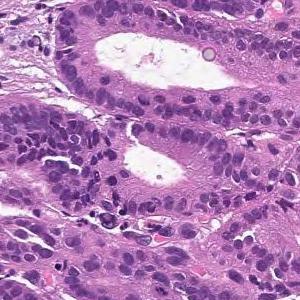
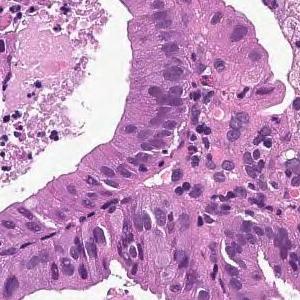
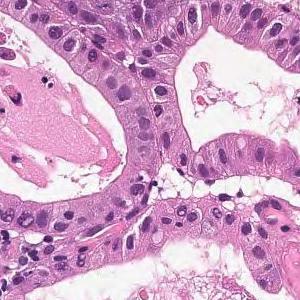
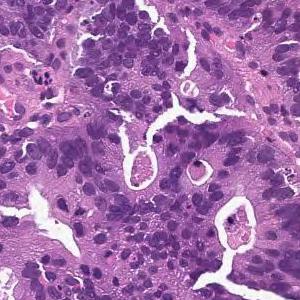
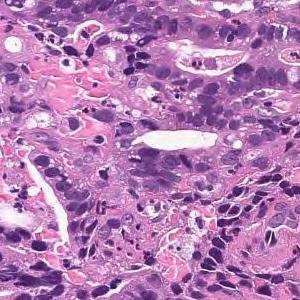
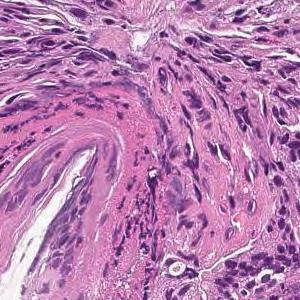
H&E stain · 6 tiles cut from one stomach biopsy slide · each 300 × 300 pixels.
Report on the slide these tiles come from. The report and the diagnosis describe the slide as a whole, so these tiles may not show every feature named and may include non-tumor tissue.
From the superficial epithelium to the muscularis mucosae, tumor tissue consisting of medium-sized and irregular glandular ducts infiltrating is observed. Well differentiated tubular adenocarcinoma
